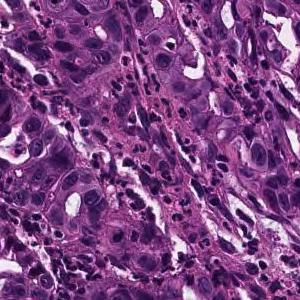
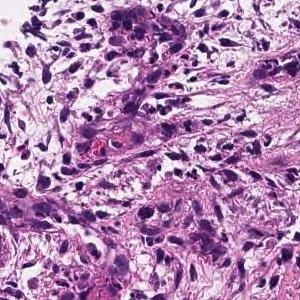
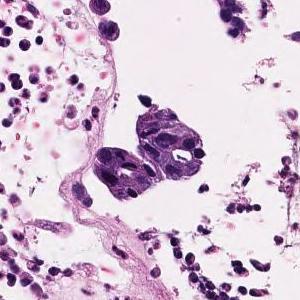
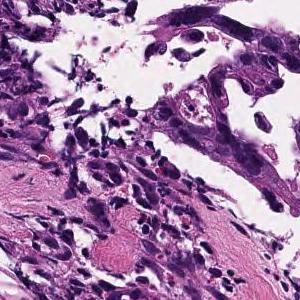
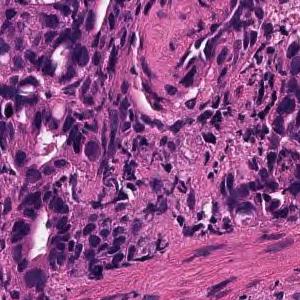
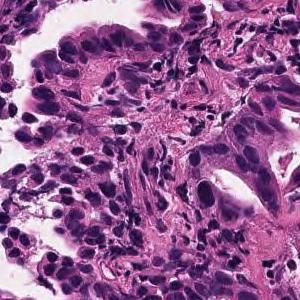
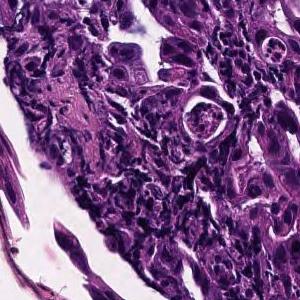
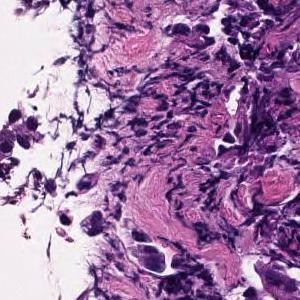
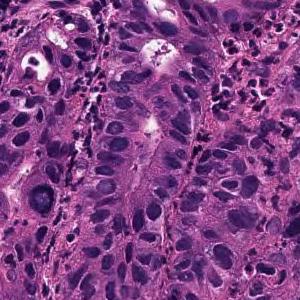
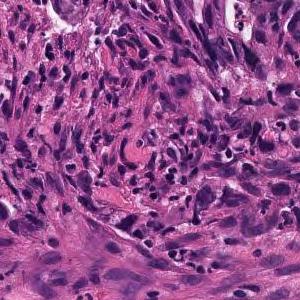
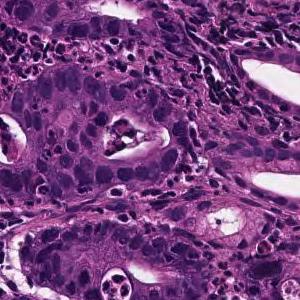
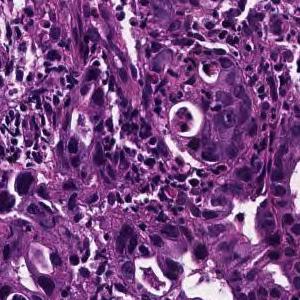
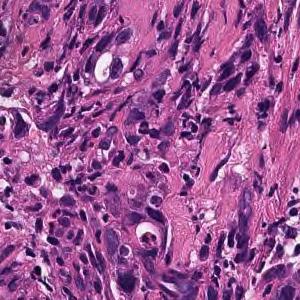
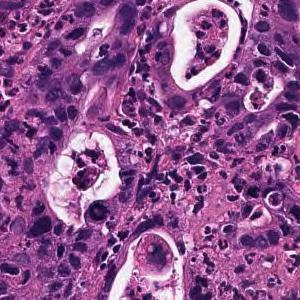
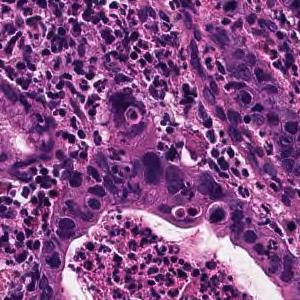
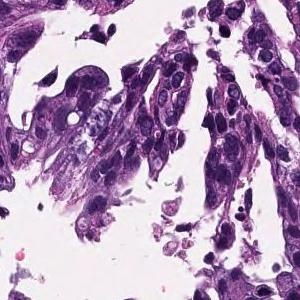
16 patches cut from one gastric biopsy slide, hematoxylin and eosin stain, scanned at ×20.
The pathologist's report on the biopsy slide these tiles were taken from. The report and the diagnosis describe the slide as a whole, so these tiles may not show every feature named and may include non-tumor tissue.
In the superficial epithelium, medium-sized to small irregular glandular ducts are formed, and in some cases, the glandular ducts are fused or small cord-like infiltrating tumor tissue is observed. moderately differentiated tubular adenocarcinoma
